H&E; 5 tiles from the same stomach biopsy slide; 300 × 300 pixels each.
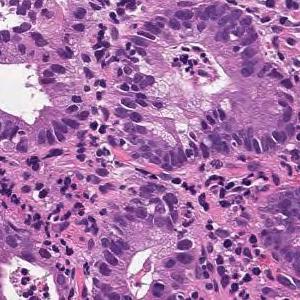
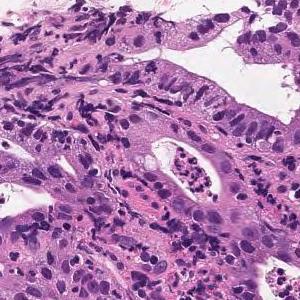
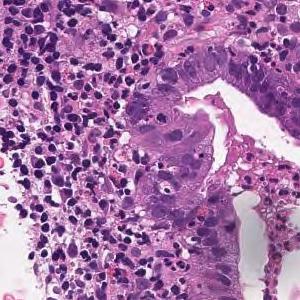
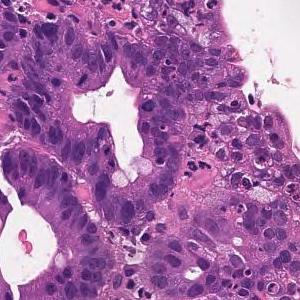
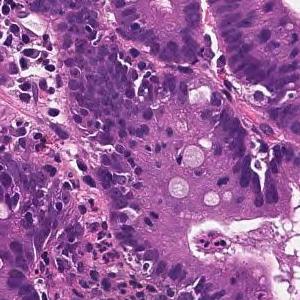
Diagnostic report for the slide these tiles come from. What the report and the diagnosis say applies to the whole slide; these tiles may miss some of the features named and may include tissue that is not tumor.
From the superficial epithelium to the muscularis mucosae, tumor tissue consisting of medium-sized and irregular glandular ducts infiltrating is observed. Well differentiated tubular adenocarcinoma
